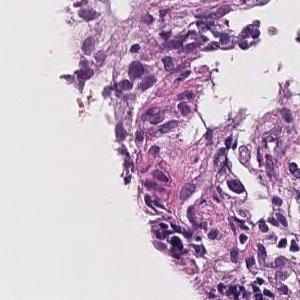
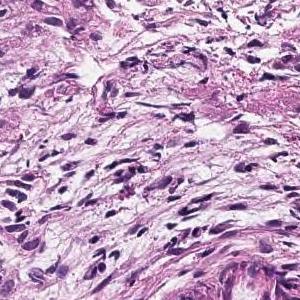
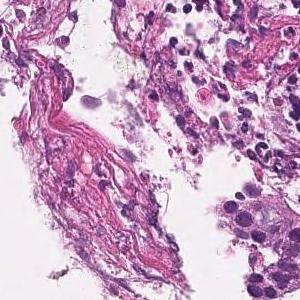
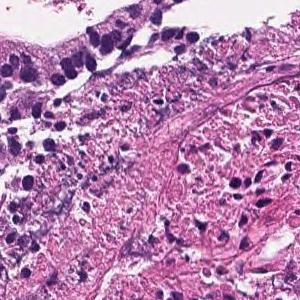
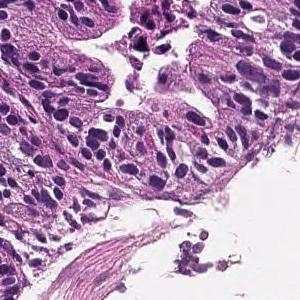
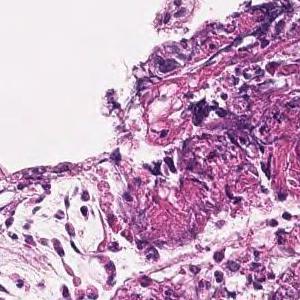
H&E · 6 image tiles from a single gastric biopsy slide · each 300 × 300 pixels.
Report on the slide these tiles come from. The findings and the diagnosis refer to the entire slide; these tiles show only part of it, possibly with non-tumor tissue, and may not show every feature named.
On the superficial epithelium, tumor tissue consisting of large, irregular glandular ducts partially fused and infiltrated is observed. Well to moderately differentiated tubular adenocarcinoma (well differentiated tubular adenocarcinoma, moderately differentiated tubular adenocarcinoma)
Histological subtype: Well to moderately differentiated tubular adenocarcinoma.
